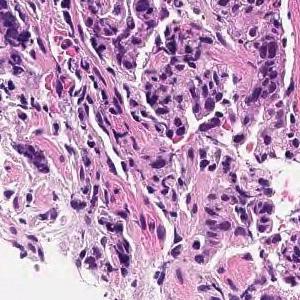
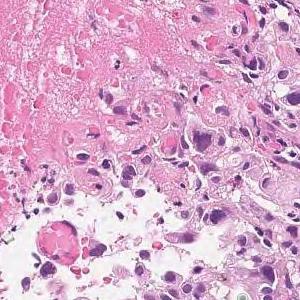
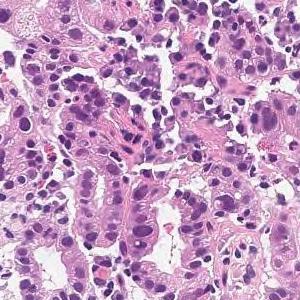
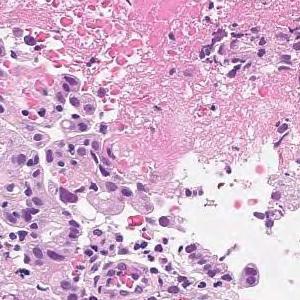
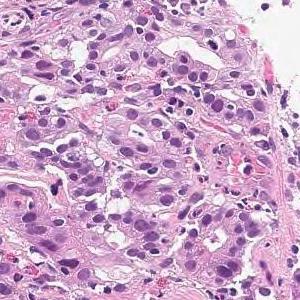
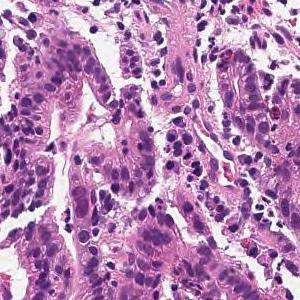
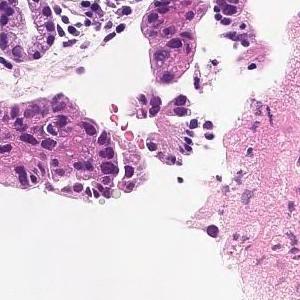
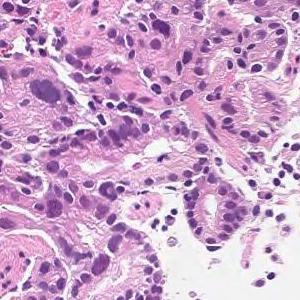
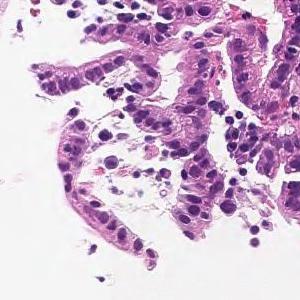
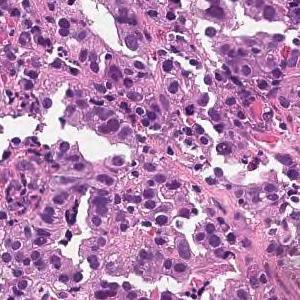
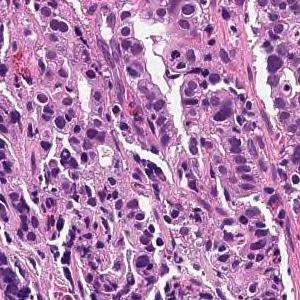
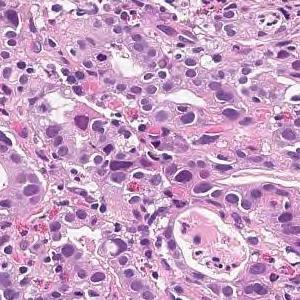
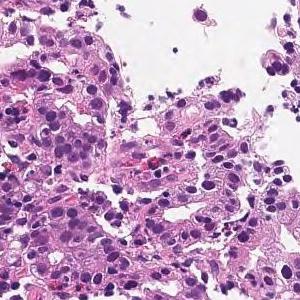
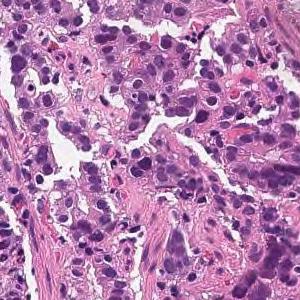
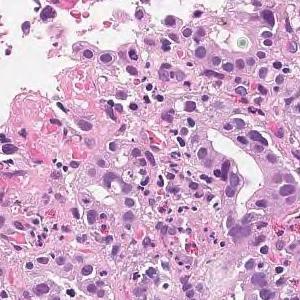
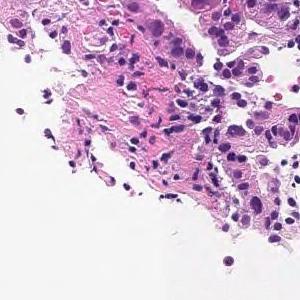
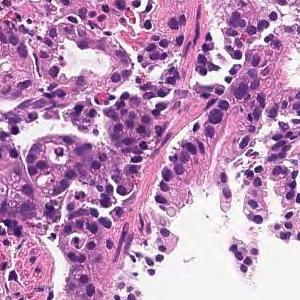
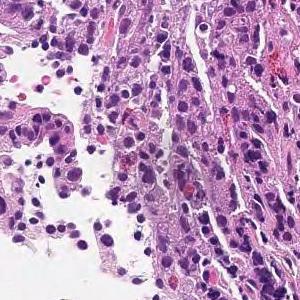
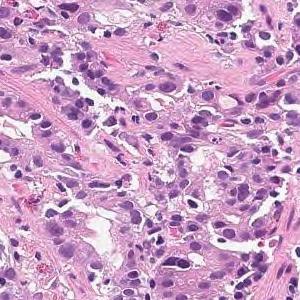
H&E stain, ×20, 19 image tiles from a single gastric biopsy slide.
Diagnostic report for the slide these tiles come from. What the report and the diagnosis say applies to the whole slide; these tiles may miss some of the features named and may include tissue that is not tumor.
In the superficial epithelium, tumor tissue that invades by forming medium-sized to small, irregular ducts is observed. moderately differentiated tubular adenocarcinoma.
